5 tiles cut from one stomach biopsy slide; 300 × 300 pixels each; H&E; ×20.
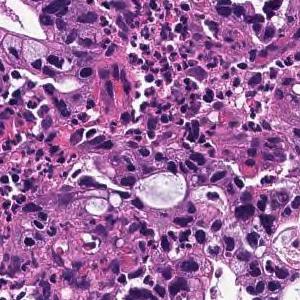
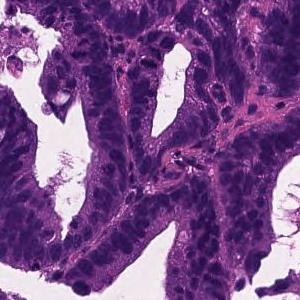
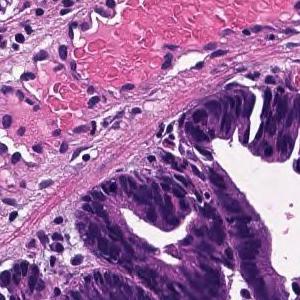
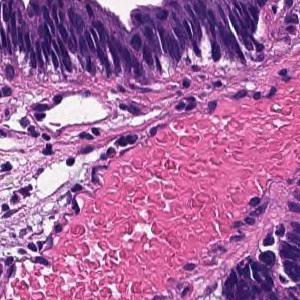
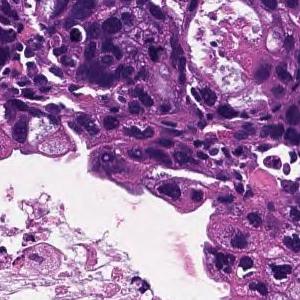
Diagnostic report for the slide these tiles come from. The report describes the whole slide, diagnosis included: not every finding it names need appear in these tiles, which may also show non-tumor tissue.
In the superficial epithelium, tumor tissue that invades by forming medium-sized to small, irregular ducts is observed. moderately differentiated tubular adenocarcinoma.
